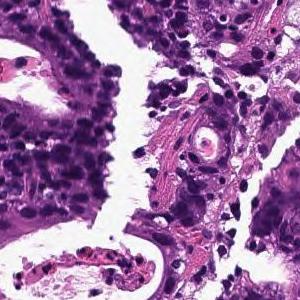
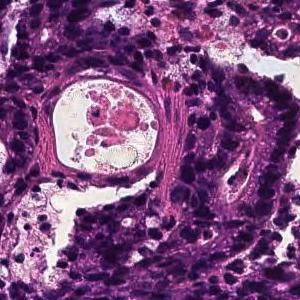
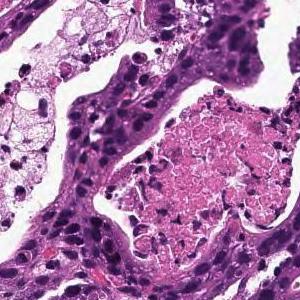
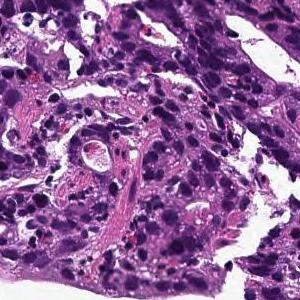
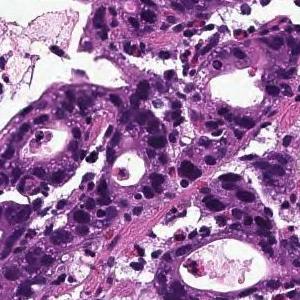
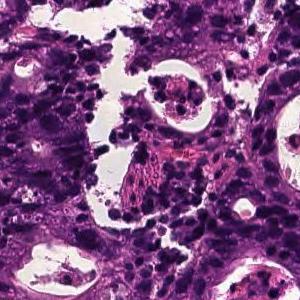
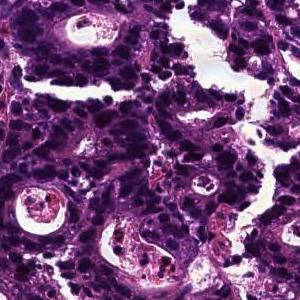
7 patches cut from one gastric biopsy slide, 300 × 300 pixels each, hematoxylin and eosin stain, ×20.
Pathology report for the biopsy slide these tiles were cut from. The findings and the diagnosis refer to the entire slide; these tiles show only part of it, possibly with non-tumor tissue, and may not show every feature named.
In the superficial epithelium, tumor tissue that invades by forming medium-sized to small, irregular ducts is observed. moderately differentiated tubular adenocarcinoma.
